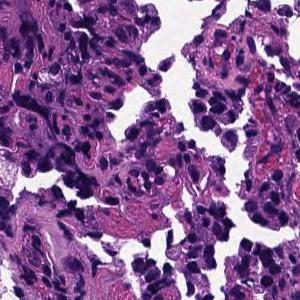
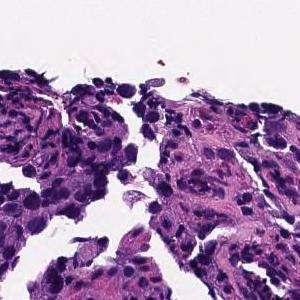
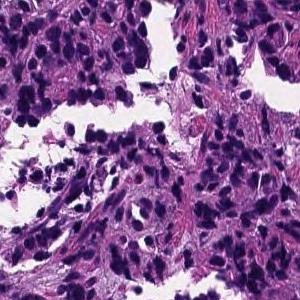
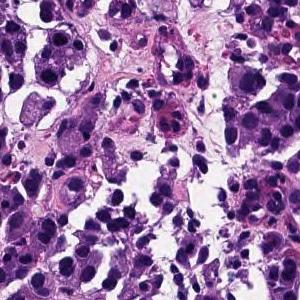
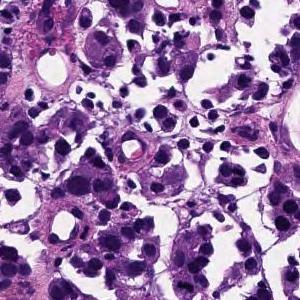
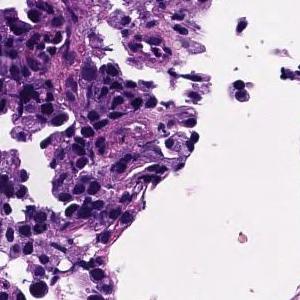
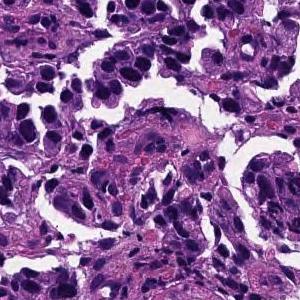
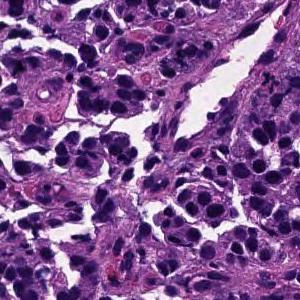
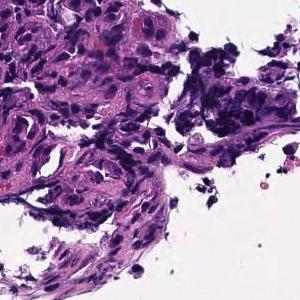
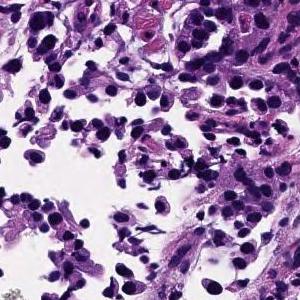
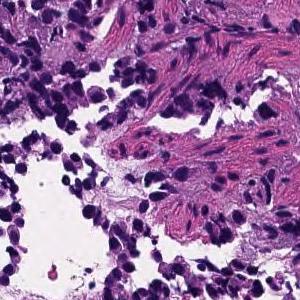
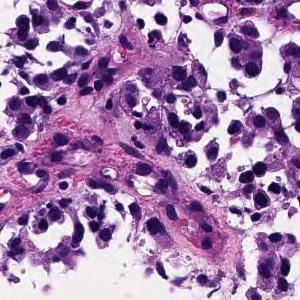
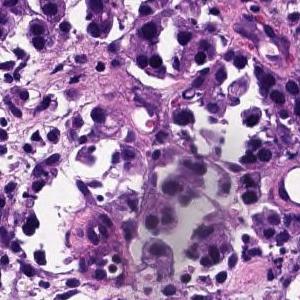
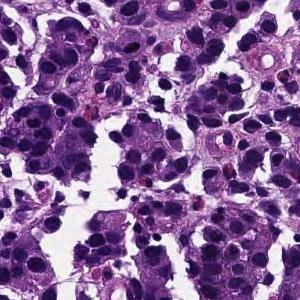
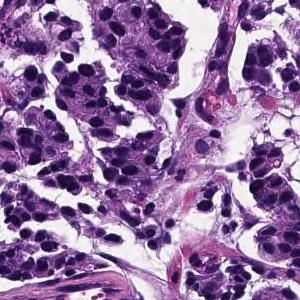
15 image tiles from a single gastric biopsy slide; scanned at ×20; H&E.
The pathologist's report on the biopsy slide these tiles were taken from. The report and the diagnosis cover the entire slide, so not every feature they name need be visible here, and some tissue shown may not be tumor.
The superficial epithelium shows a large alveolar shape and infiltrates tumor tissue. Poorly differentiated adenocarcinoma, solid-type
Classified as poorly differentiated adenocarcinoma, solid type. This name comes from the Japanese Classification of Gastric Carcinoma; the WHO 2019 classification calls it tubular adenocarcinoma, poorly differentiated.
